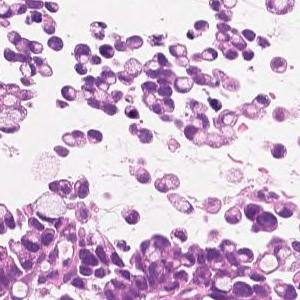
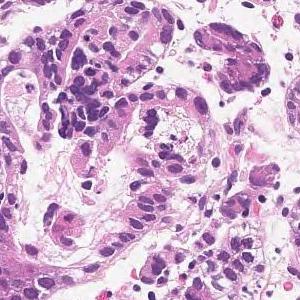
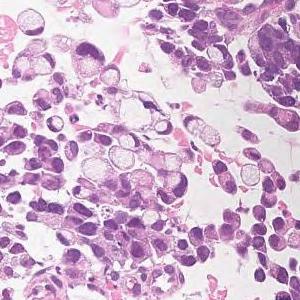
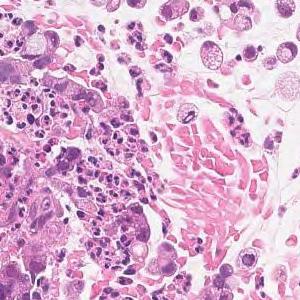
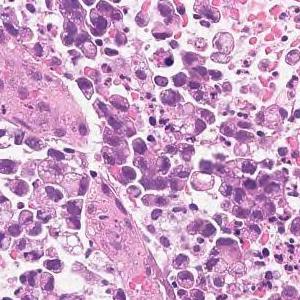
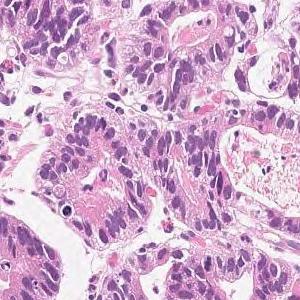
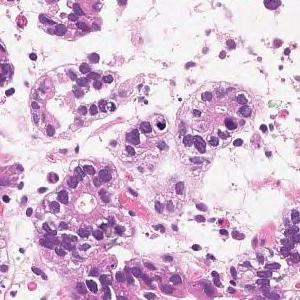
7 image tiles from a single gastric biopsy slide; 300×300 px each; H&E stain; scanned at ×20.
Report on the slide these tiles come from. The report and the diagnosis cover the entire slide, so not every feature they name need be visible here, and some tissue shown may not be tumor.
Medium to small, irregular glandular ducts are formed in the superficial epithelium, and in some cases, the glandular ducts are fused to show solid alveolar lesions and infiltrating tumor tissue is observed. Moderately to poorly differentiated adenocarcinoma.
